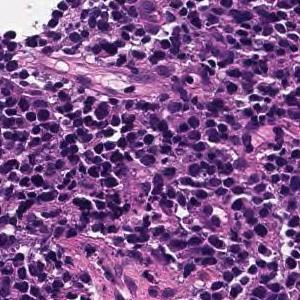
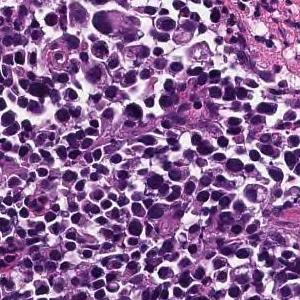
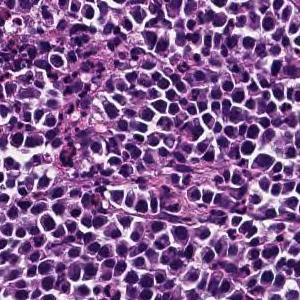
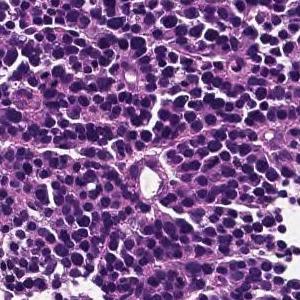
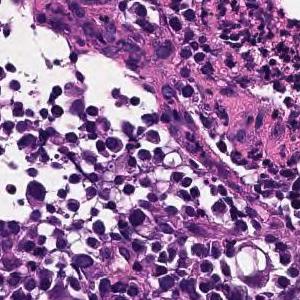
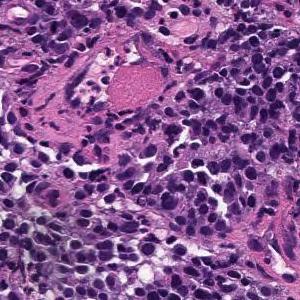
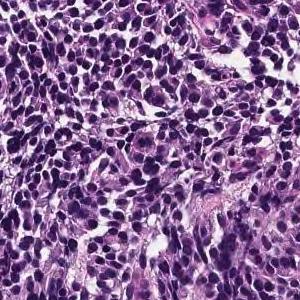
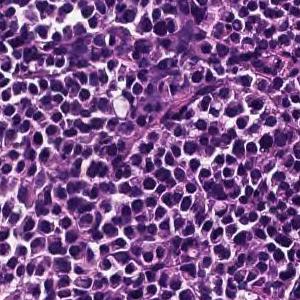
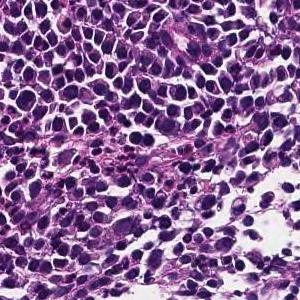
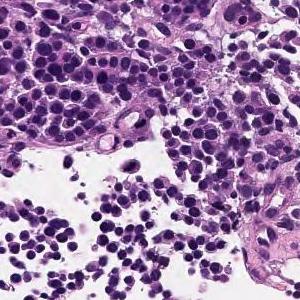
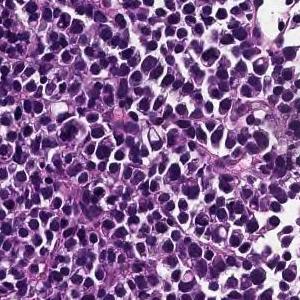
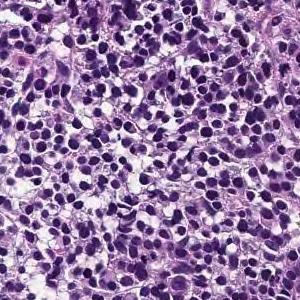
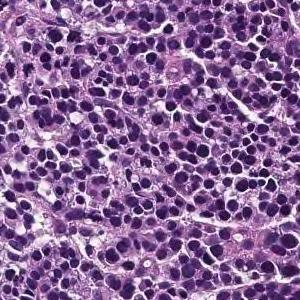
H&E stain, scanned at ×20, 13 tiles from the same stomach biopsy slide, 300 × 300 pixels each.
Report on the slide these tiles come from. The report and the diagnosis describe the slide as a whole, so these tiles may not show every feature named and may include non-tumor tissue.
Large sheet-like or diffusely infiltrating tumor tissue is found in the superficial epithelium. Poorly differentiated adenocarcinoma, solid-type
Histological subtype: Poorly differentiated adenocarcinoma, solid type (Japanese Classification of Gastric Carcinoma). The WHO 2019 equivalent is tubular adenocarcinoma, poorly differentiated.
